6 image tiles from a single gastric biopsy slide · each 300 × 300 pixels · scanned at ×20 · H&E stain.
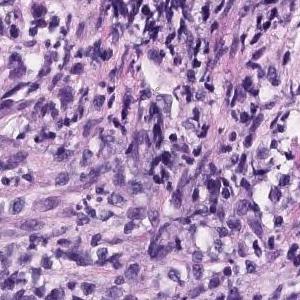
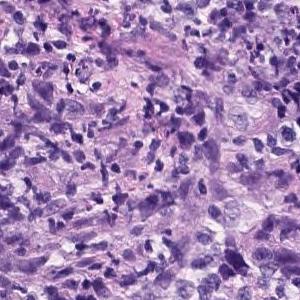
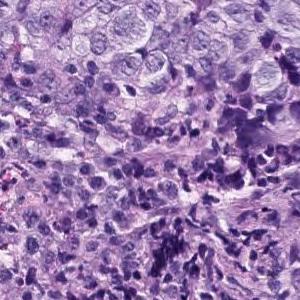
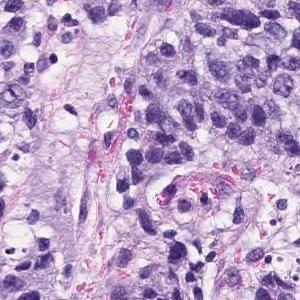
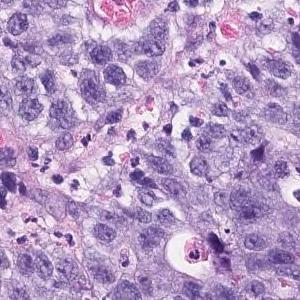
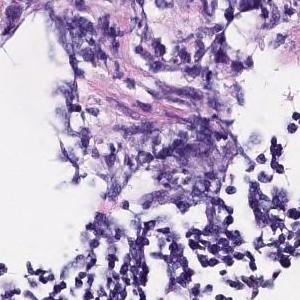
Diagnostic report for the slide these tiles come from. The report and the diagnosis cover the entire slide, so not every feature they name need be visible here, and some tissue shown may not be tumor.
The superficial epithelium shows a large sheet-like shape, and some tumor tissue infiltrates with small irregular ducts. Poorly differentiated adenocarcinoma, solid-type
Tumor subtype: poorly differentiated adenocarcinoma, solid type (Japanese Classification of Gastric Carcinoma). The WHO 2019 equivalent is tubular adenocarcinoma, poorly differentiated.
